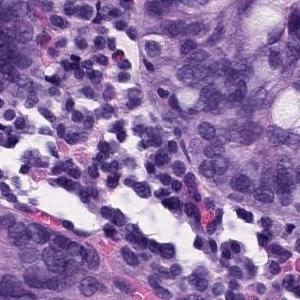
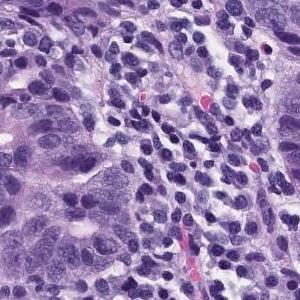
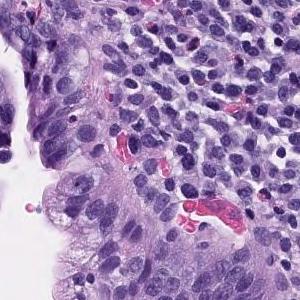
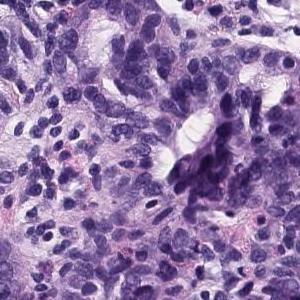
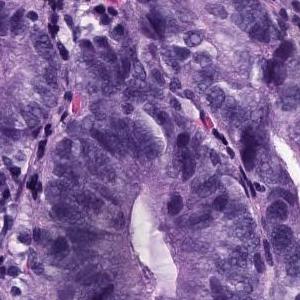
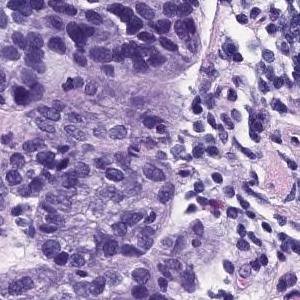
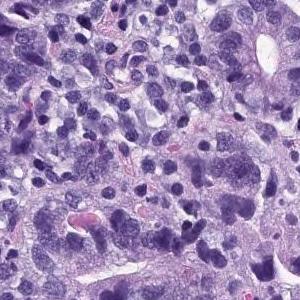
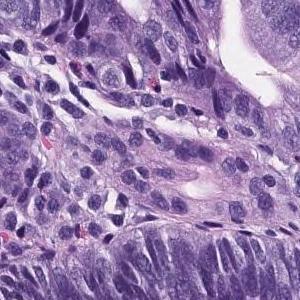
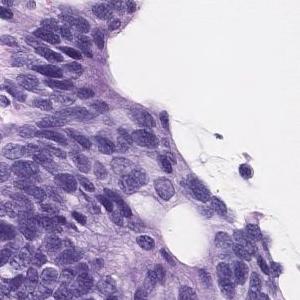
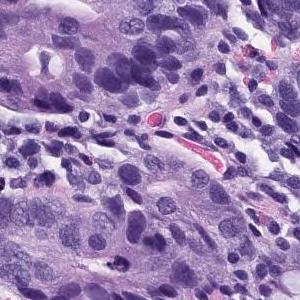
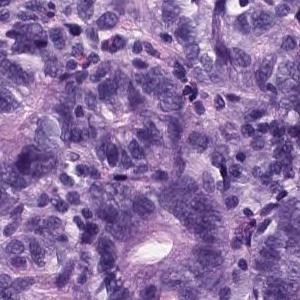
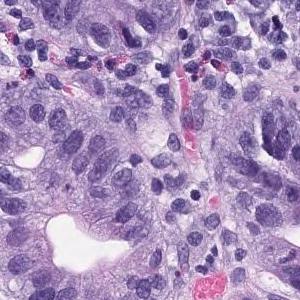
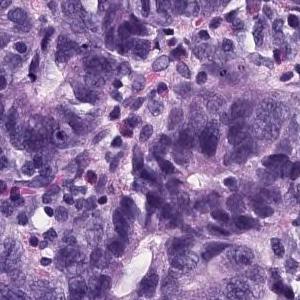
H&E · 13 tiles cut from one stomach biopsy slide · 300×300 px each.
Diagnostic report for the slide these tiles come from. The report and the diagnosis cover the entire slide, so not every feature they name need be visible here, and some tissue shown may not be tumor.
In the superficial epithelium, tumor tissue that invades by forming medium-sized to small, irregular ducts is observed. Moderately differentiated adenocarcinoma.
Tumor subtype: moderately differentiated tubular adenocarcinoma.
